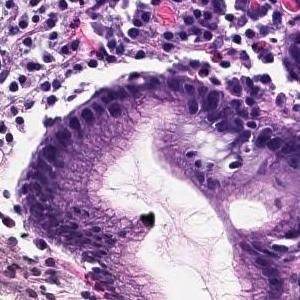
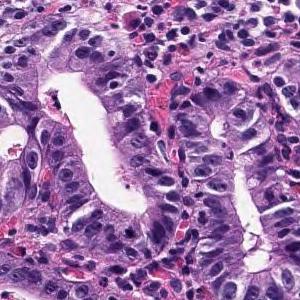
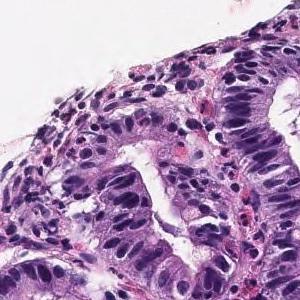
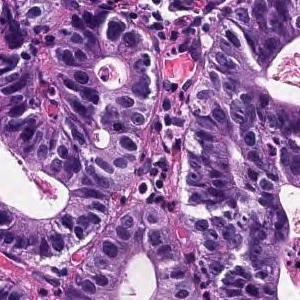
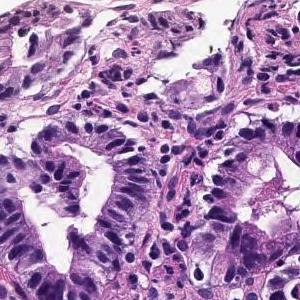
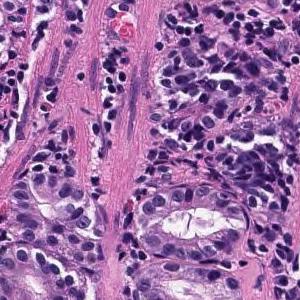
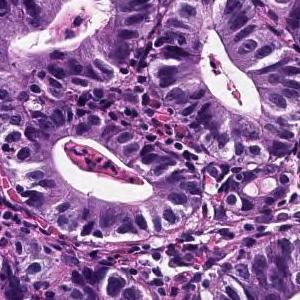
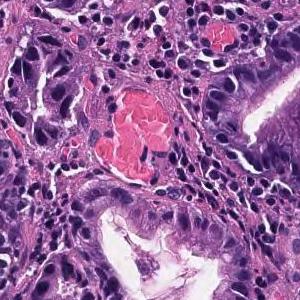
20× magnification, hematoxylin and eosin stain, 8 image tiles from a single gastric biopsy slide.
The pathologist's report on the biopsy slide these tiles were taken from. The report and the diagnosis cover the entire slide, so not every feature they name need be visible here, and some tissue shown may not be tumor.
Tumor tissue consisting of medium-sized and irregular ducts is observed infiltrating in the superficial epithelium. Tumor cells are highly columnar, with nuclei aligned basolaterally and polarized. Well differentiated tubular adenocarcinoma.
